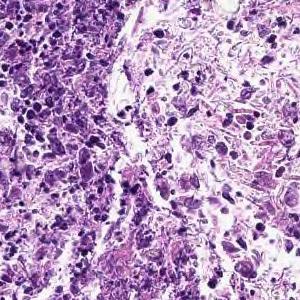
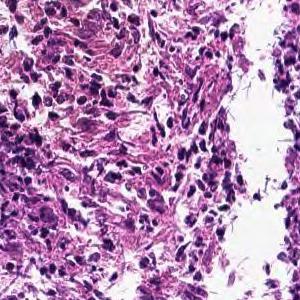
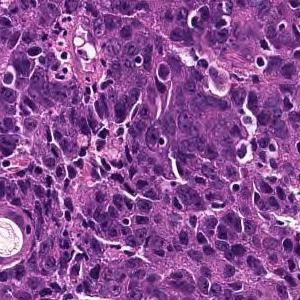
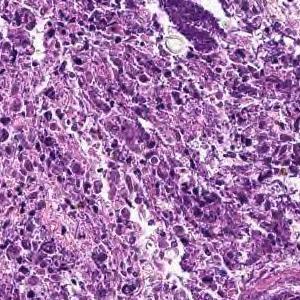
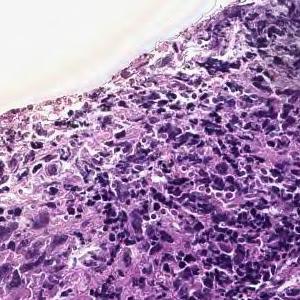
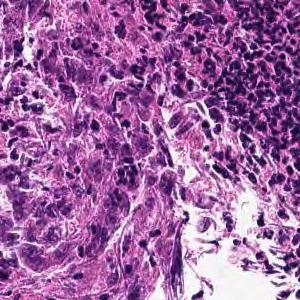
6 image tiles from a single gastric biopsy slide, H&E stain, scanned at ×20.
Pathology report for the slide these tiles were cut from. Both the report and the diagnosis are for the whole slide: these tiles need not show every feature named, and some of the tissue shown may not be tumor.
Cancers with polygonal nuclei do not show glandular formation and are densely, in part, cord-like and proliferate. Poorly differentiated adenocarcinoma
Subtype: Poorly differentiated adenocarcinoma, non-solid type.
The non-solid type named here is a Japanese Classification of Gastric Carcinoma category.
